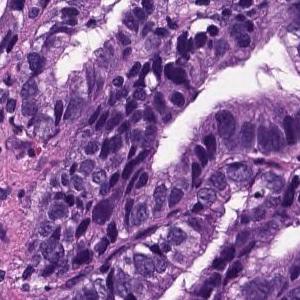
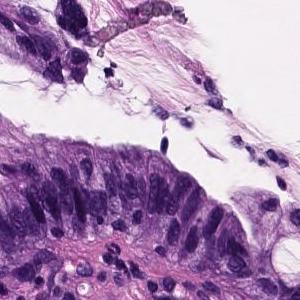
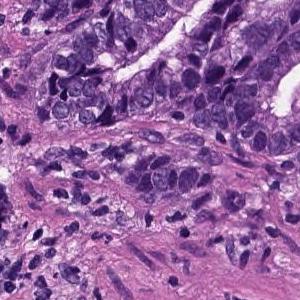
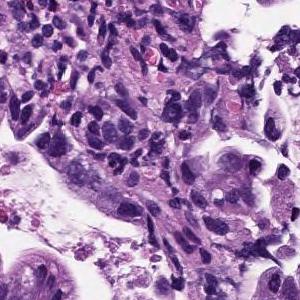
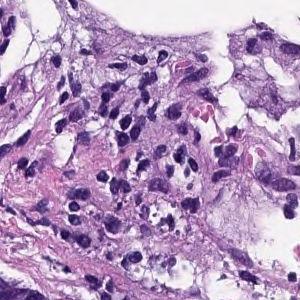
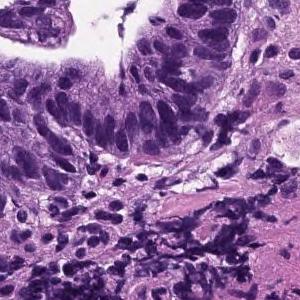
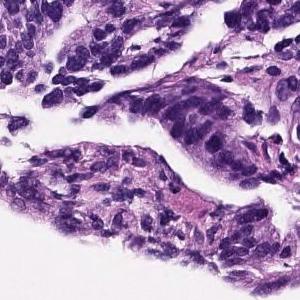
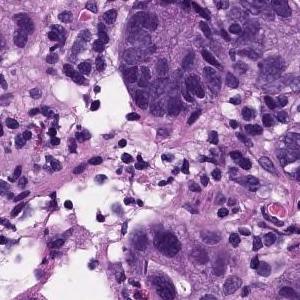
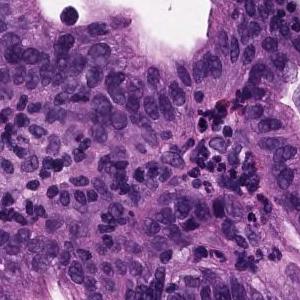
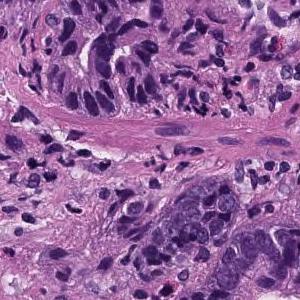
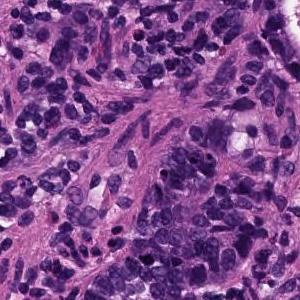
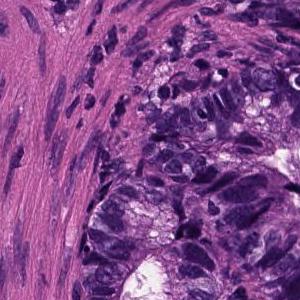
12 image tiles from a single gastric biopsy slide, each 300 × 300 pixels.
Diagnostic report for the slide these tiles come from. The report and the diagnosis describe the slide as a whole, so these tiles may not show every feature named and may include non-tumor tissue.
In the superficial epithelium, tumor tissue that invades by forming medium-sized to small, irregular ducts is observed. Moderately differentiated adenocarcinoma.
Tumor subtype: moderately differentiated tubular adenocarcinoma.
